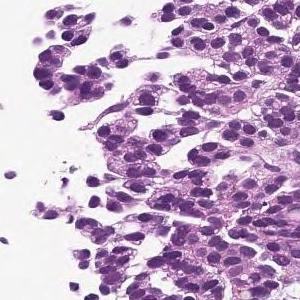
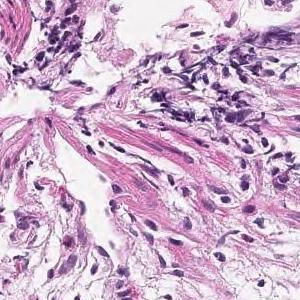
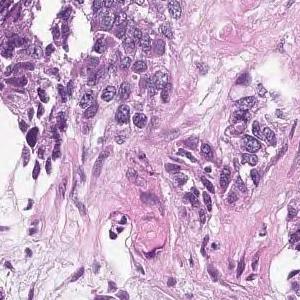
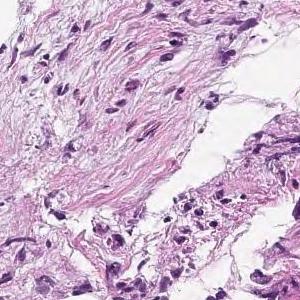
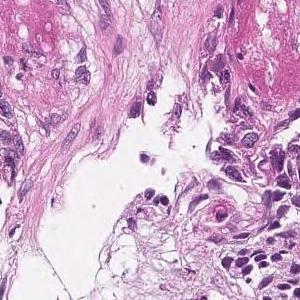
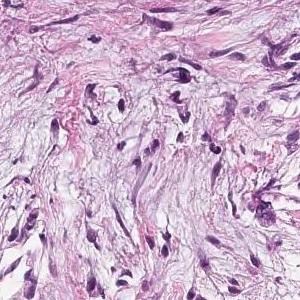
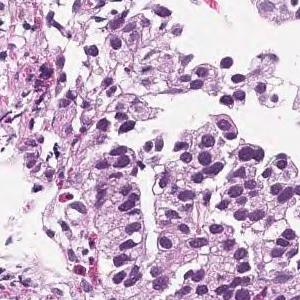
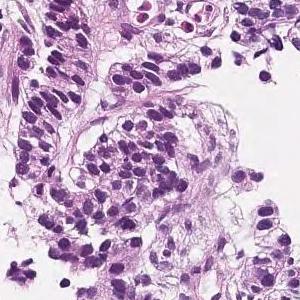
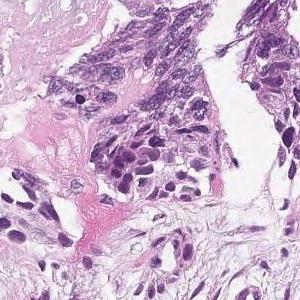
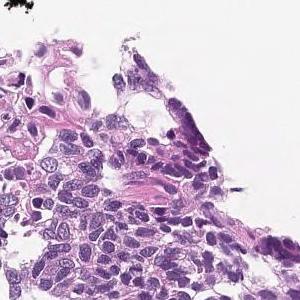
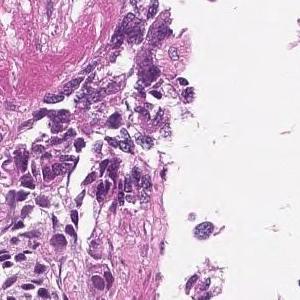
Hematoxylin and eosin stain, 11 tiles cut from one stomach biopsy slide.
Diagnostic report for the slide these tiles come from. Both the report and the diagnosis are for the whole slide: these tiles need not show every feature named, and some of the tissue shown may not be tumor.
Medium to small, irregular glandular ducts are formed in the superficial epithelium, and in some cases, the glandular ducts are fused to show solid alveolar lesions and infiltrating tumor tissue is observed. Moderately to poorly differentiated adenocarcinoma.
